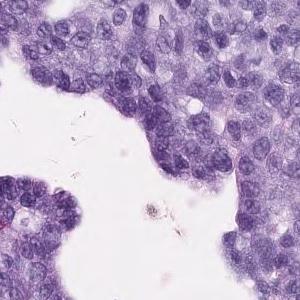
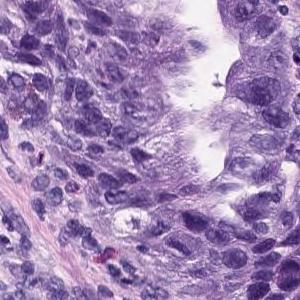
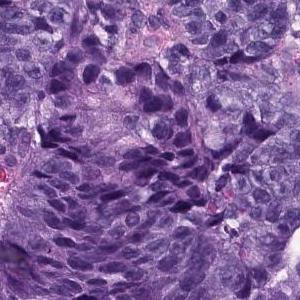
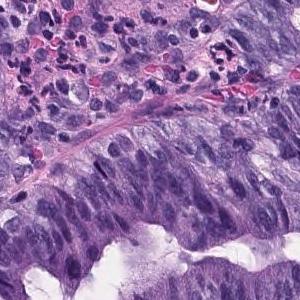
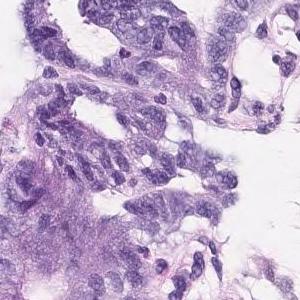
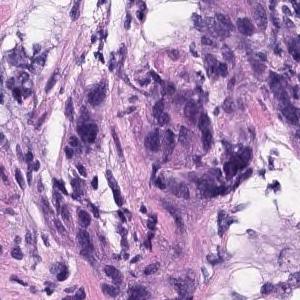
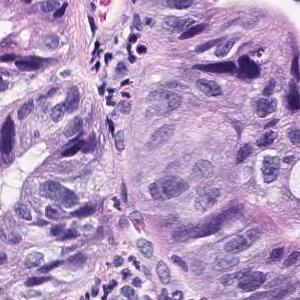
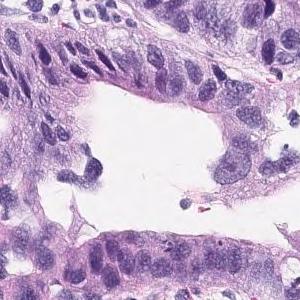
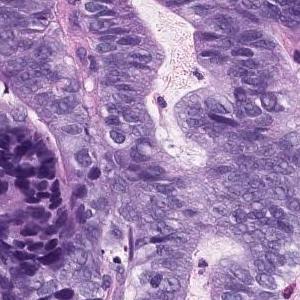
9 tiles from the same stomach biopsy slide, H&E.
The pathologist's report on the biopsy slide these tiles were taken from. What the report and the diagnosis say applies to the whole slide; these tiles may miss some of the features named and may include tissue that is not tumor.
In the superficial epithelium, tumor tissue that invades by forming medium-sized to small, irregular ducts is observed. Well to moderately differentiated tubular adenocarcinoma.
